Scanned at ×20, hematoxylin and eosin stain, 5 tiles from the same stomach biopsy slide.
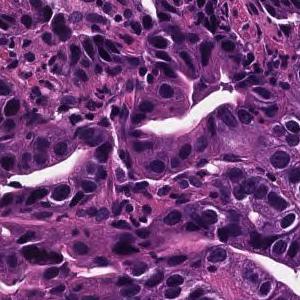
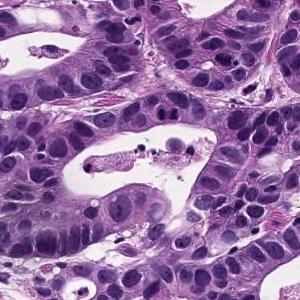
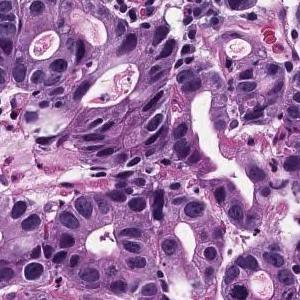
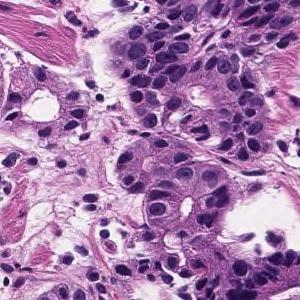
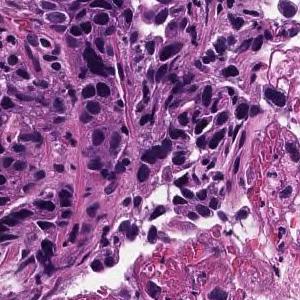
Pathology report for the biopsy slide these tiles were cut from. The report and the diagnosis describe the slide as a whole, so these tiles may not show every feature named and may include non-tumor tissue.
In the superficial epithelium, tumor tissue that invades by forming medium-sized to small, irregular ducts is observed. Well differentiated tubular adenocarcinoma.
